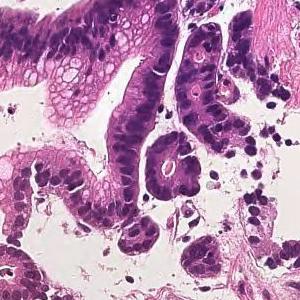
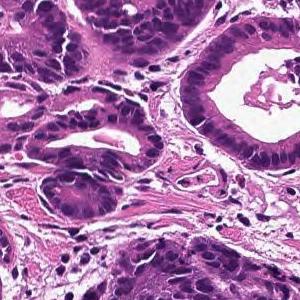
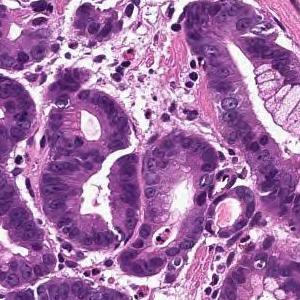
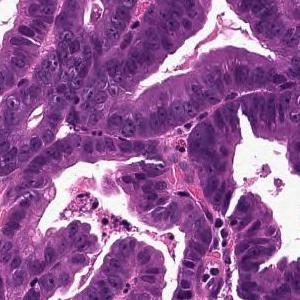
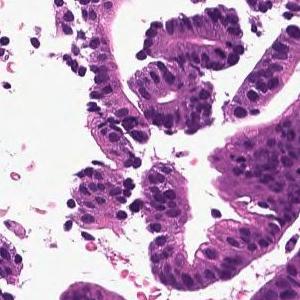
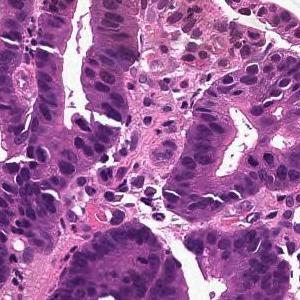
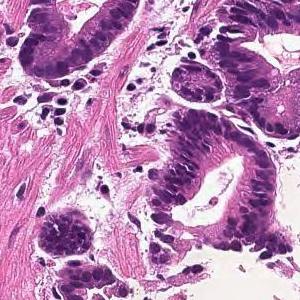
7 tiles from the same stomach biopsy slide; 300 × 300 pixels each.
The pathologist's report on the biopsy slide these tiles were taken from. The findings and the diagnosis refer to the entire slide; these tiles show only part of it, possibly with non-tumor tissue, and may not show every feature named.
From the superficial epithelium to the muscularis mucosae, tumor tissue consisting of medium-sized and irregular glandular ducts infiltrating is observed. Well differentiated tubular adenocarcinoma
